6 tiles cut from one stomach biopsy slide, each 300 × 300 pixels, H&E stain, scanned at ×20.
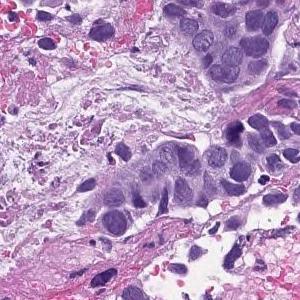
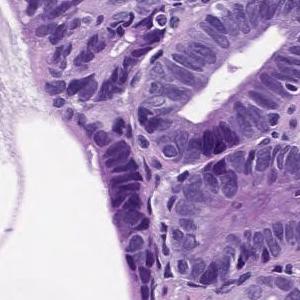
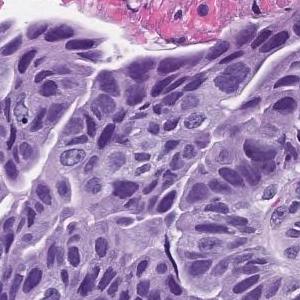
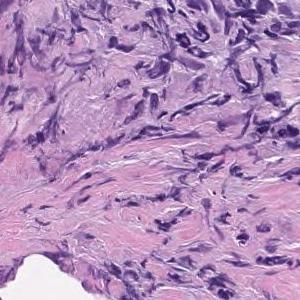
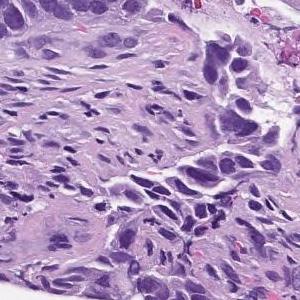
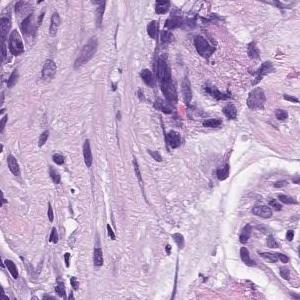
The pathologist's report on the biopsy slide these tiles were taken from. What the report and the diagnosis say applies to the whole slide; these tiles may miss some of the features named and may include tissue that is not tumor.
In the superficial epithelium, tumor tissue that invades by forming medium-sized to small, irregular ducts is observed. moderately differentiated tubular adenocarcinoma.
